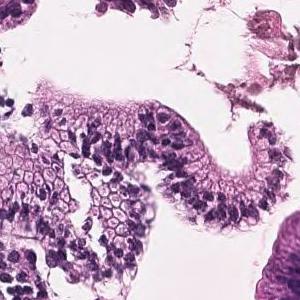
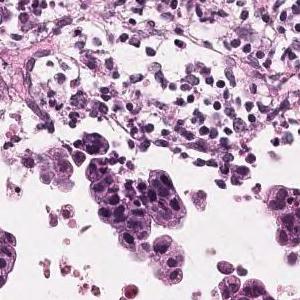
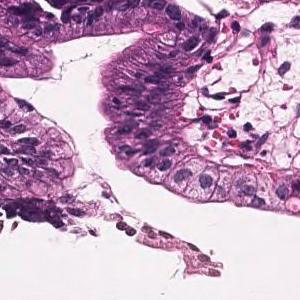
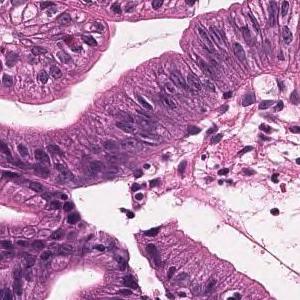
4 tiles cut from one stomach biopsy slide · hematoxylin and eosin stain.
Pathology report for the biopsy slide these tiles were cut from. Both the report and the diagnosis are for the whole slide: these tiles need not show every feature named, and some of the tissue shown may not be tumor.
Tumor tissue that grows invasively while the short atypical epithelium forms small ducts is observed. moderately differentiated tubular adenocarcinoma
